11 tiles cut from one stomach biopsy slide, each 300 × 300 pixels, scanned at ×20, hematoxylin and eosin stain.
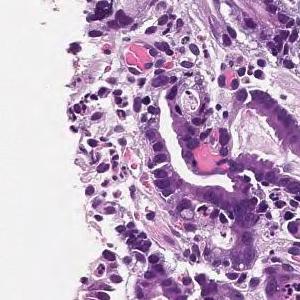
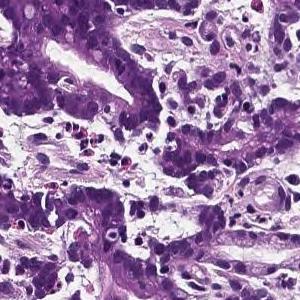
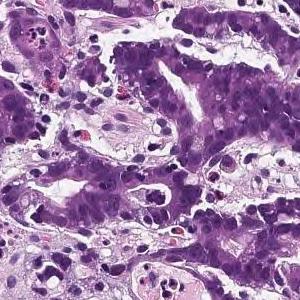
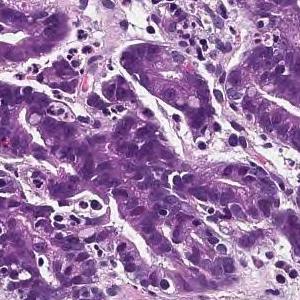
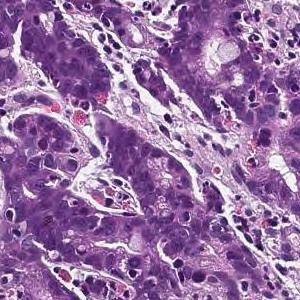
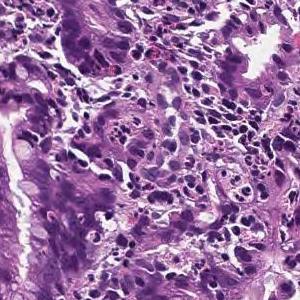
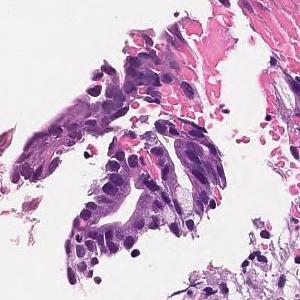
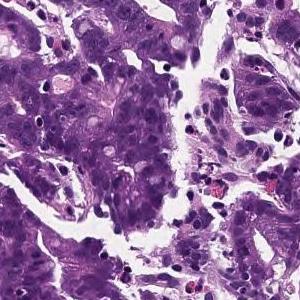
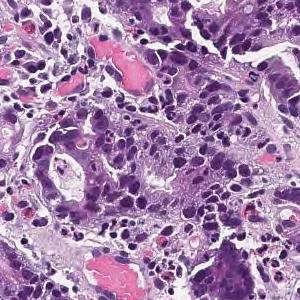
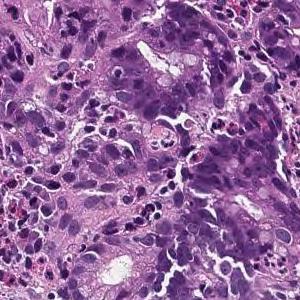
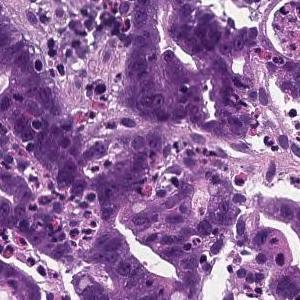
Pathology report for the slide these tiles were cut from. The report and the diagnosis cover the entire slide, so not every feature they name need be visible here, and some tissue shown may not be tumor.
In the superficial epithelium, tumor tissue that invades by forming medium-sized to small, irregular ducts is observed. moderately differentiated tubular adenocarcinoma.
